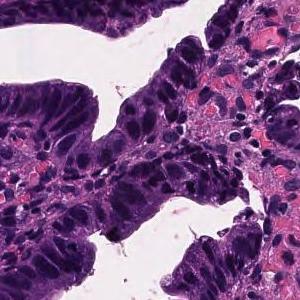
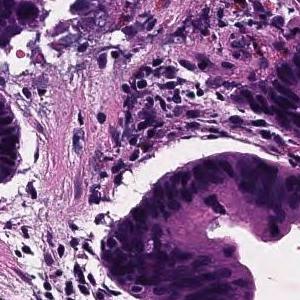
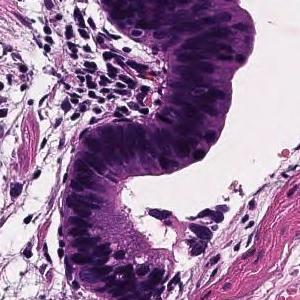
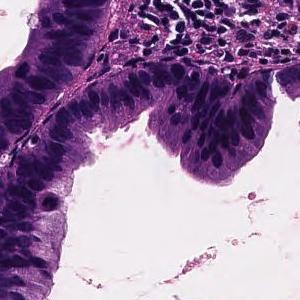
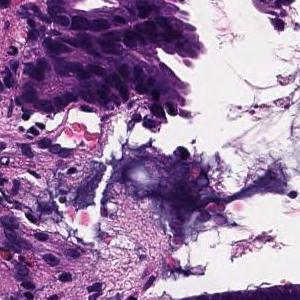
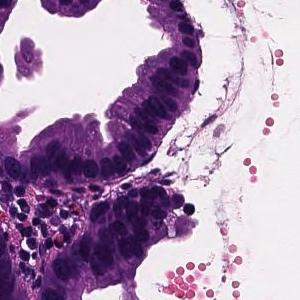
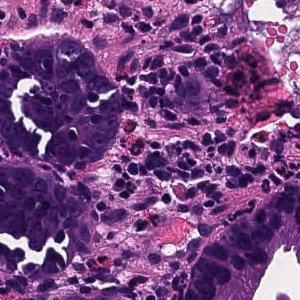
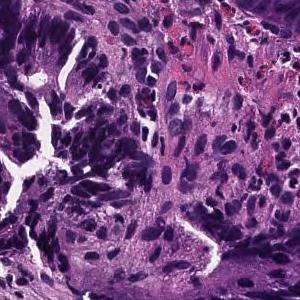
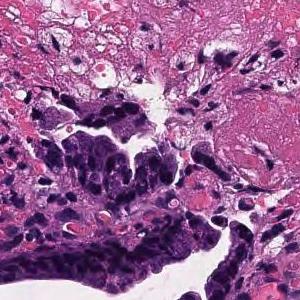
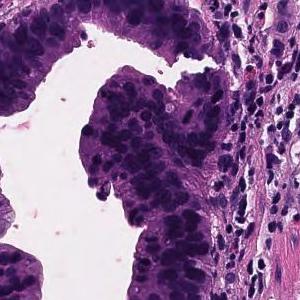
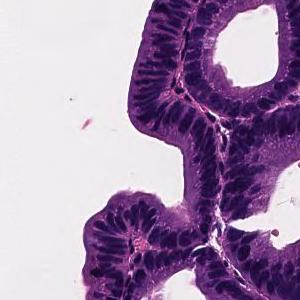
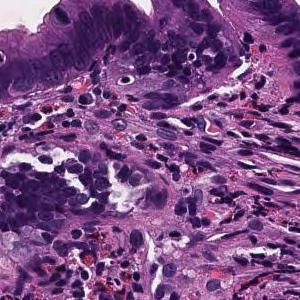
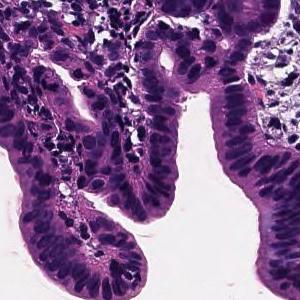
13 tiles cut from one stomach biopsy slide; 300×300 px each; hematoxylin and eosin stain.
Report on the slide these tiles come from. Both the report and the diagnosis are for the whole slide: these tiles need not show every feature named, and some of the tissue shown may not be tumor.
Tumor cells are large, highly columnar, large club-shaped nuclei, and are associated with chromatin aggregation. Papillary adenocarcinoma.
